4 image tiles from a single gastric biopsy slide, each 300 × 300 pixels, scanned at ×20.
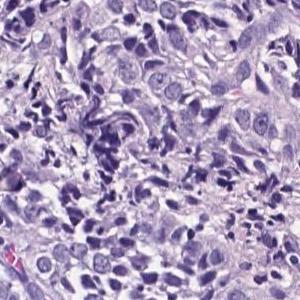
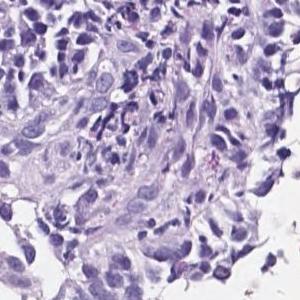
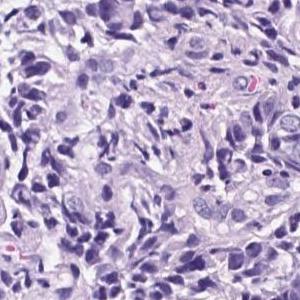
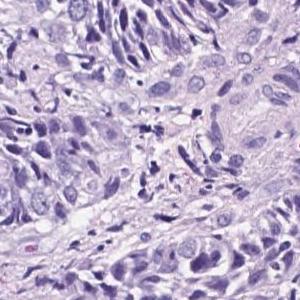
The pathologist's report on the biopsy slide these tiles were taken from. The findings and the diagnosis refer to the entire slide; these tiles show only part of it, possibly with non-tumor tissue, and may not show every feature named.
Medium to small atypical epithelial cells that become cord-like or irregularly agglomerated and infiltrate. Poorly differentiated adenocarcinoma
Histologic type: Poorly differentiated adenocarcinoma, solid type. This name comes from the Japanese Classification of Gastric Carcinoma; the WHO 2019 classification calls it tubular adenocarcinoma, poorly differentiated.
